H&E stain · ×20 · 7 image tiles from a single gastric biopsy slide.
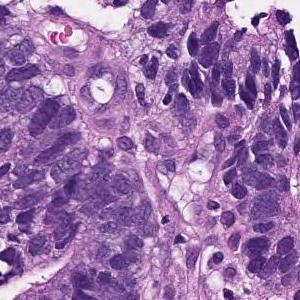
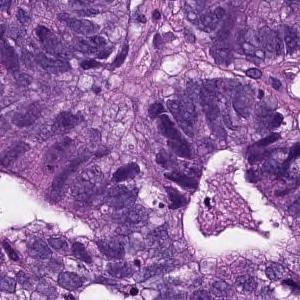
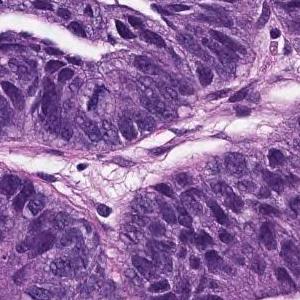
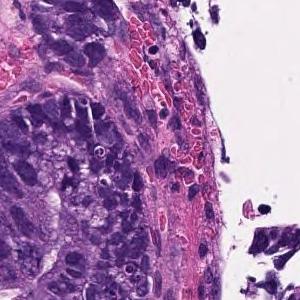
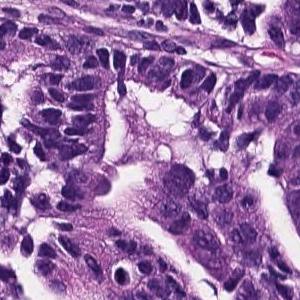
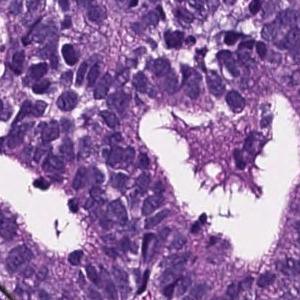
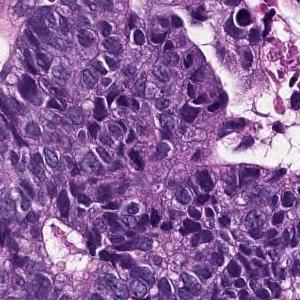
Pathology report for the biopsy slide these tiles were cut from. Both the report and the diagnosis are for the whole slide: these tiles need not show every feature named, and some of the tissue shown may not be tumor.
In the superficial epithelium, tumor tissue that invades by forming medium-sized to small, irregular ducts is observed. moderately differentiated tubular adenocarcinoma.
